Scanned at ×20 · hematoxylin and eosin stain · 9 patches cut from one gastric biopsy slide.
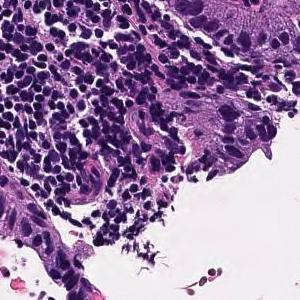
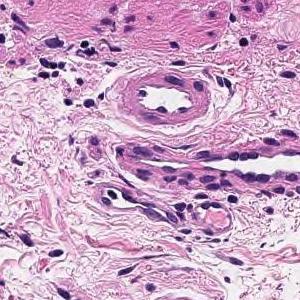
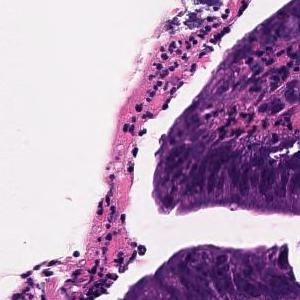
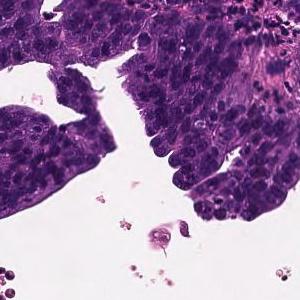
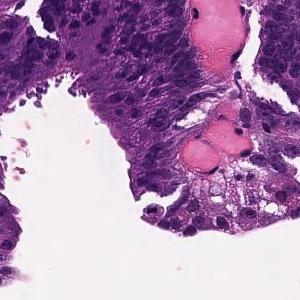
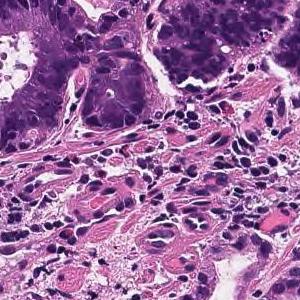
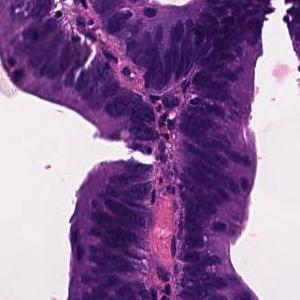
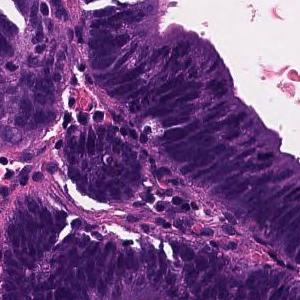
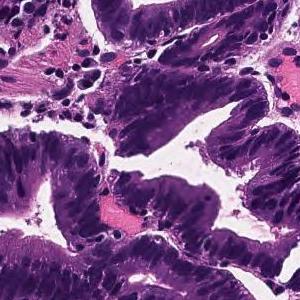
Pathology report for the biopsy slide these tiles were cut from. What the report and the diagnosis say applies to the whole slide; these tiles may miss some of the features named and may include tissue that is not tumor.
Tumor tissue consisting of large papillary structures is found in the superficial epithelium. Papillary adenocarcinoma.
